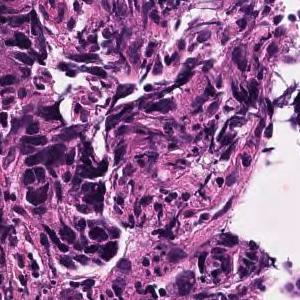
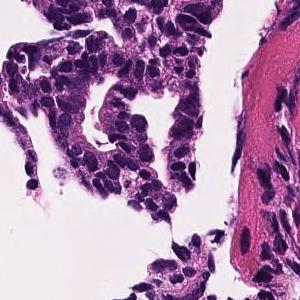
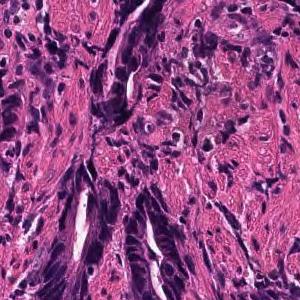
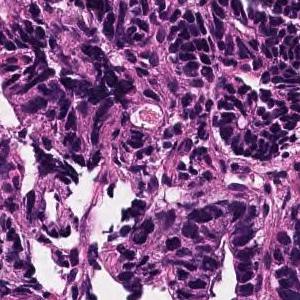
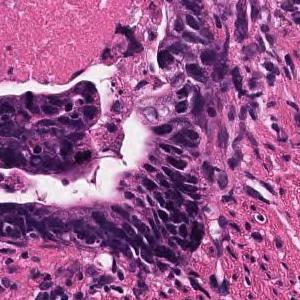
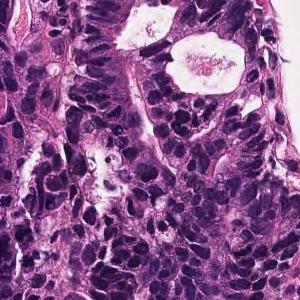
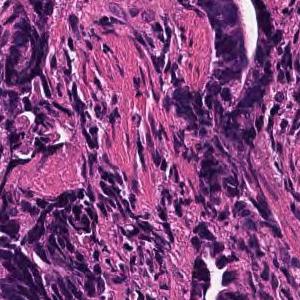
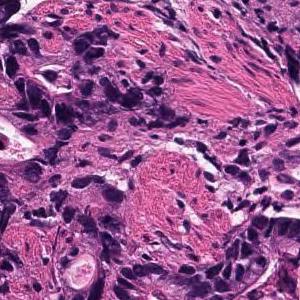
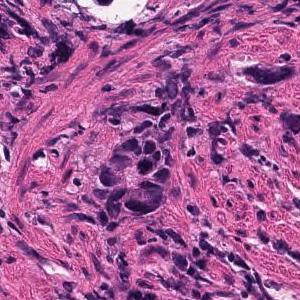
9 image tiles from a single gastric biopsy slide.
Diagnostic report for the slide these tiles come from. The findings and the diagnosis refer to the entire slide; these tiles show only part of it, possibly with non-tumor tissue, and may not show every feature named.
Large and small irregular small glandular ducts forming and infiltrating. moderately differentiated tubular adenocarcinoma
